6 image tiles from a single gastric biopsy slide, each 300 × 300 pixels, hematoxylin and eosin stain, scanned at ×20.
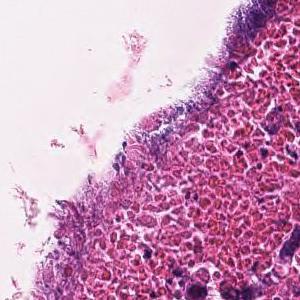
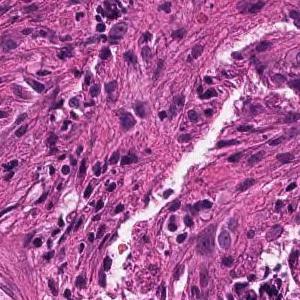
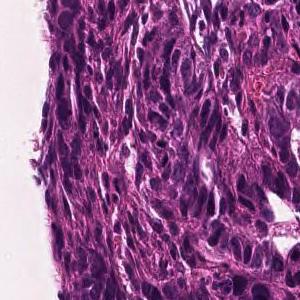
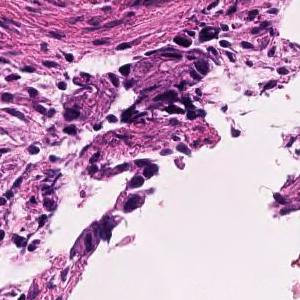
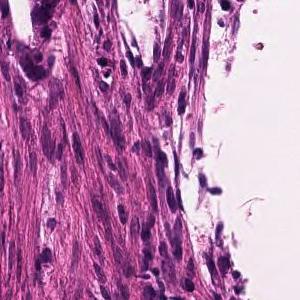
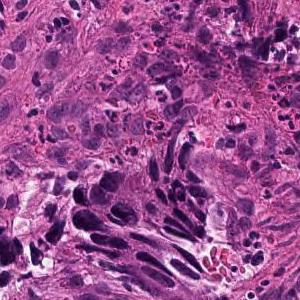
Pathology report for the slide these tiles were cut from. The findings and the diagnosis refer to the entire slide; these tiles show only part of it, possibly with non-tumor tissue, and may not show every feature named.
In the superficial epithelium, tumor tissue that invades by forming medium-sized to small, irregular ducts is observed. moderately differentiated tubular adenocarcinoma.
